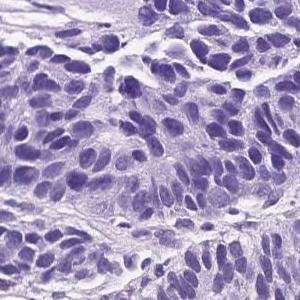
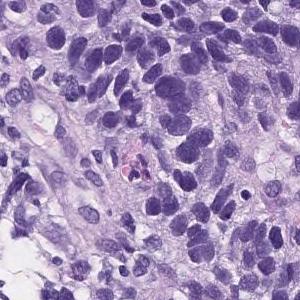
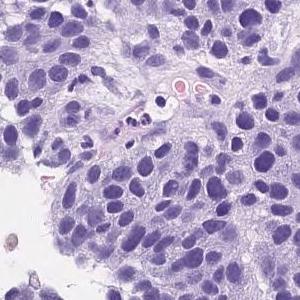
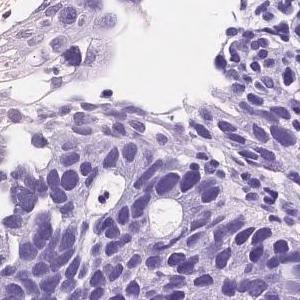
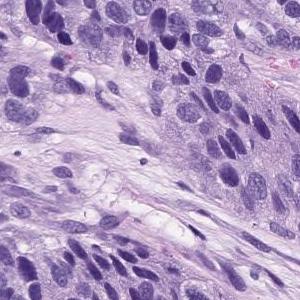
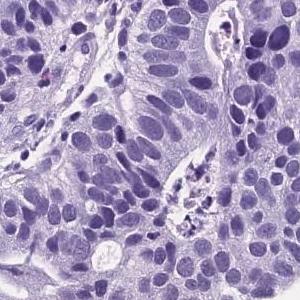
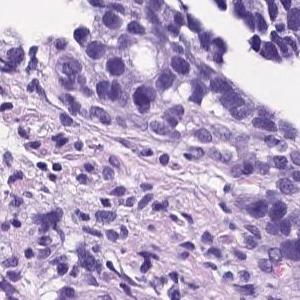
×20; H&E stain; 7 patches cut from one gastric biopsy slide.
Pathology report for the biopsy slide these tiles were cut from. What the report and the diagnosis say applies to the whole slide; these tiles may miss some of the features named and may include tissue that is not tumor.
Atypical cells with atypical nuclei forming small irregular atypical ducts and growing in a conformative manner. moderately differentiated tubular adenocarcinoma
Dataset label: moderately to poorly differentiated adenocarcinoma.
